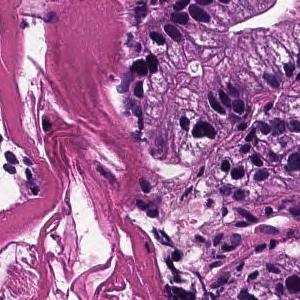
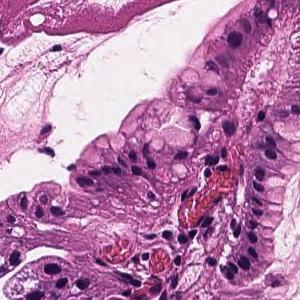
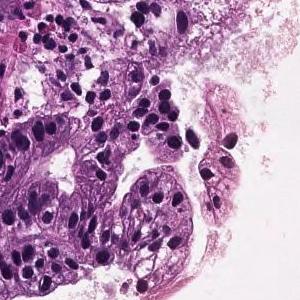
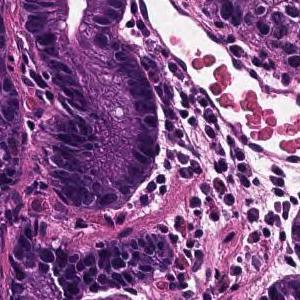
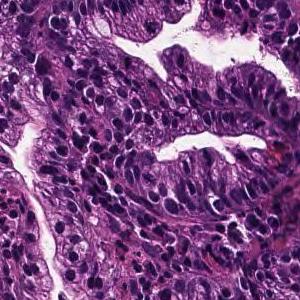
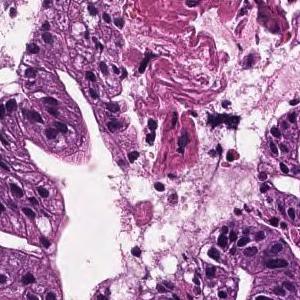
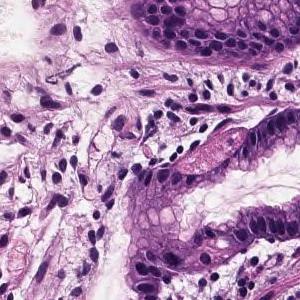
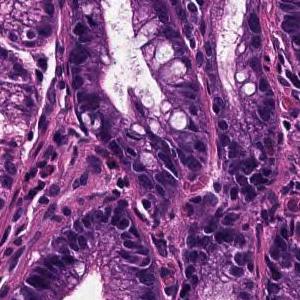
Hematoxylin and eosin stain; ×20; 8 tiles cut from one stomach biopsy slide.
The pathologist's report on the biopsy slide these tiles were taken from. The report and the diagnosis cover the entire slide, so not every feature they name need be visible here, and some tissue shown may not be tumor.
On the superficial epithelium, tumor tissue that infiltrates by forming medium-sized papillary or small irregular ducts is observed. Papillary adenocarcinoma
